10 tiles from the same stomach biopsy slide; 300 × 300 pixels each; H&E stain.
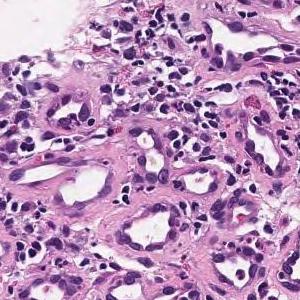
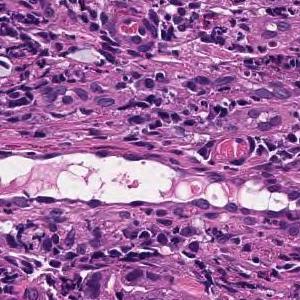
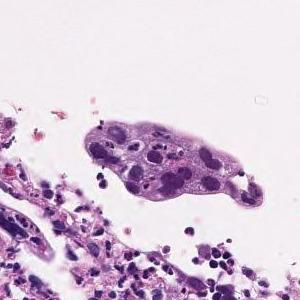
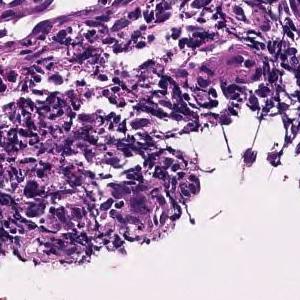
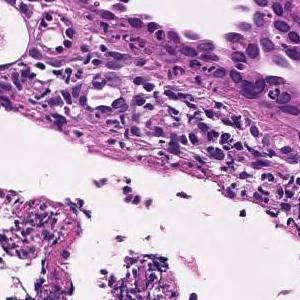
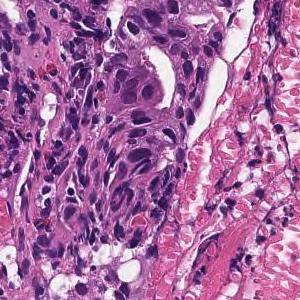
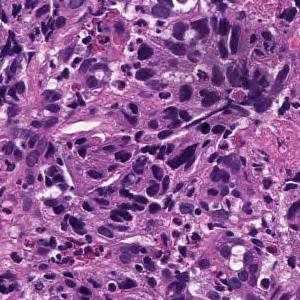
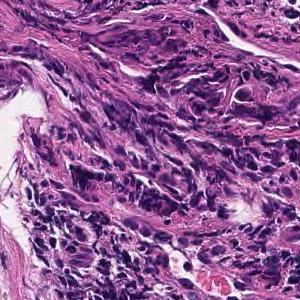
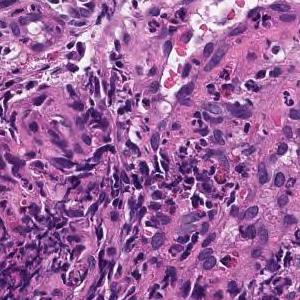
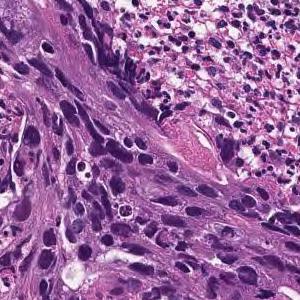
Pathology report for the biopsy slide these tiles were cut from. Both the report and the diagnosis are for the whole slide: these tiles need not show every feature named, and some of the tissue shown may not be tumor.
In the superficial epithelium, tumor tissue that invades by forming medium-sized to small, irregular ducts is observed. moderately differentiated tubular adenocarcinoma.
